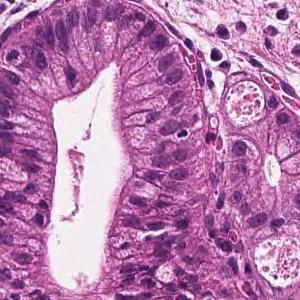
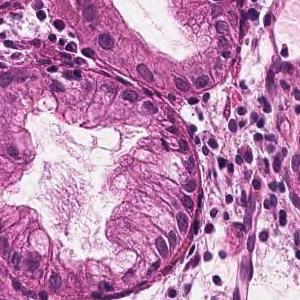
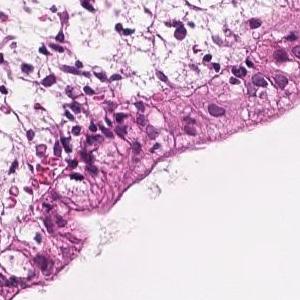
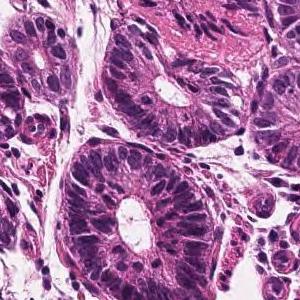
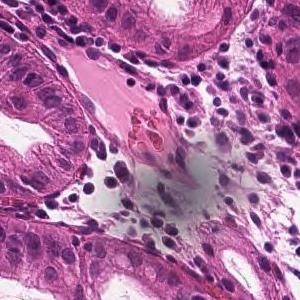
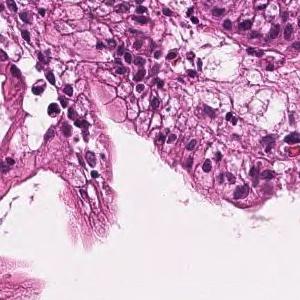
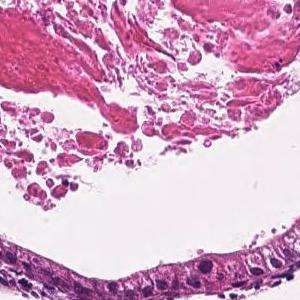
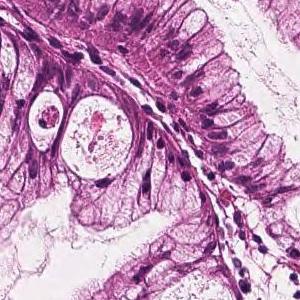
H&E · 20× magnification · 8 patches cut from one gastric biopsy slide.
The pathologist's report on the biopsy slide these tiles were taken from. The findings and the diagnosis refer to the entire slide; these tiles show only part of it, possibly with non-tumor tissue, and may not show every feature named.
In the superficial epithelium, tumor tissue that invades by forming medium-sized to small, irregular ducts is observed. Well differentiated tubular adenocarcinoma.
